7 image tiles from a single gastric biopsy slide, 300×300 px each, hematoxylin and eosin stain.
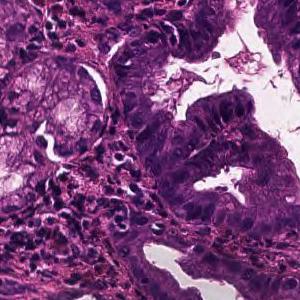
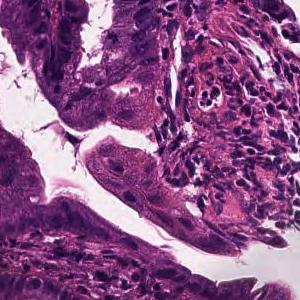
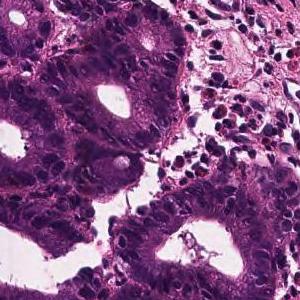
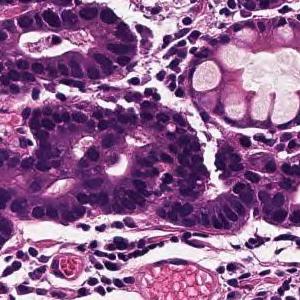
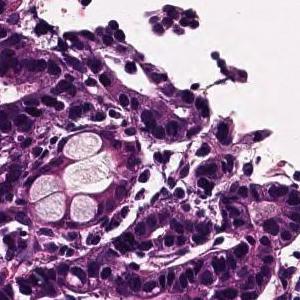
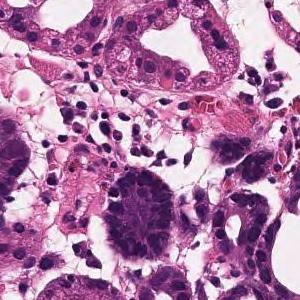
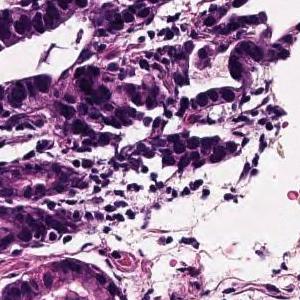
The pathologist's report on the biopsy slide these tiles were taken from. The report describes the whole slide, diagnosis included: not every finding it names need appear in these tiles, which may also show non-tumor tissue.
On the superficial epithelium, tumor tissue consisting of medium-sized and irregular glandular ducts partially fused and infiltrated is observed. Well to moderately differentiated tubular adenocarcinoma (well differentiated tubular adenocarcinoma-moderately differentiated tubular adenocarcinoma)
Histological subtype: Well to moderately differentiated tubular adenocarcinoma.
